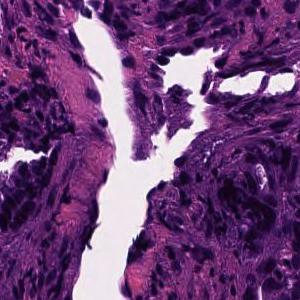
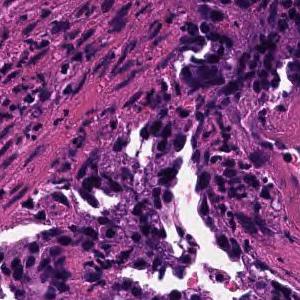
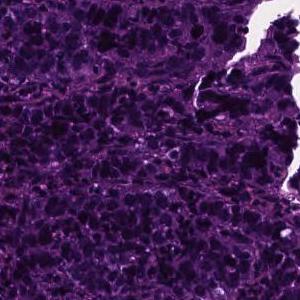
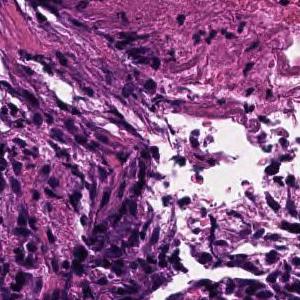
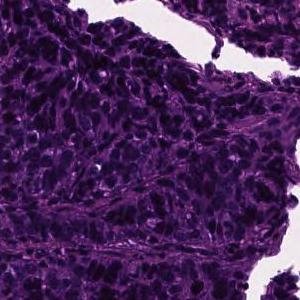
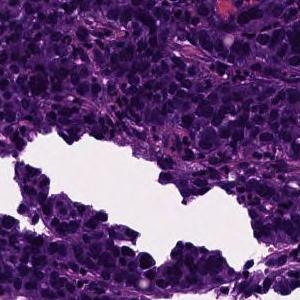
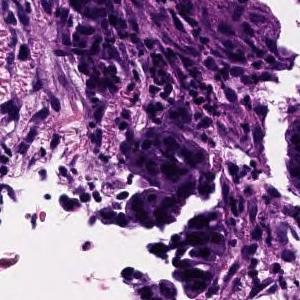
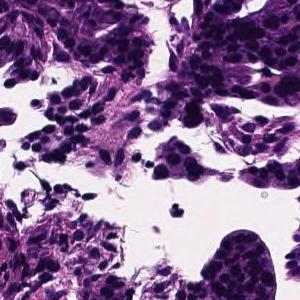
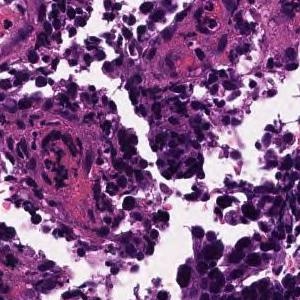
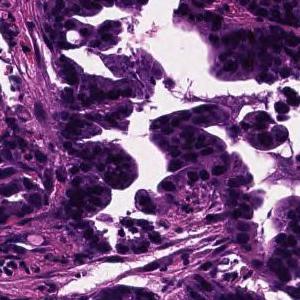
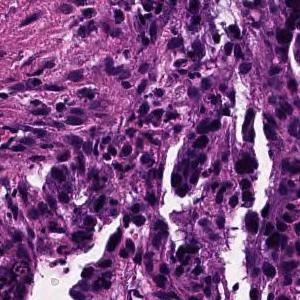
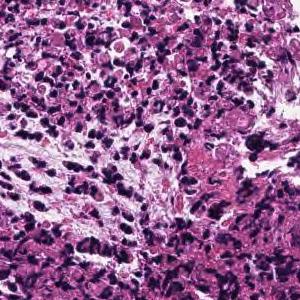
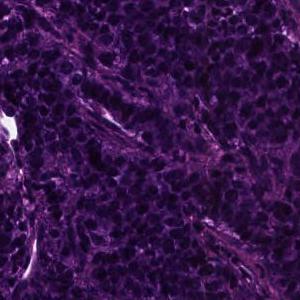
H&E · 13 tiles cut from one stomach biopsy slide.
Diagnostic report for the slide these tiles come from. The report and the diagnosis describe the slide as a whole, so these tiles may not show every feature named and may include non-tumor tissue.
In the superficial epithelium, tumor tissue that invades by forming medium-sized to small, irregular ducts is observed. moderately differentiated tubular adenocarcinoma.
